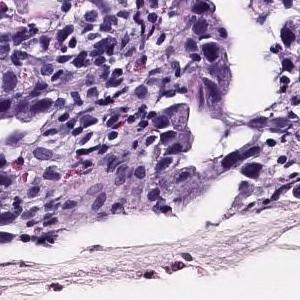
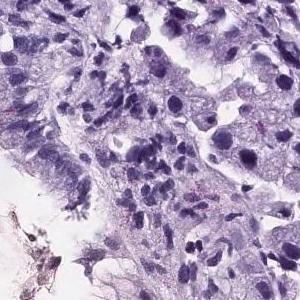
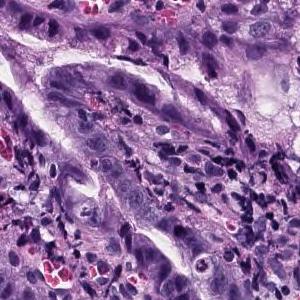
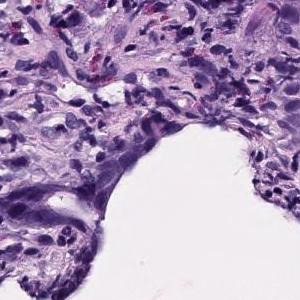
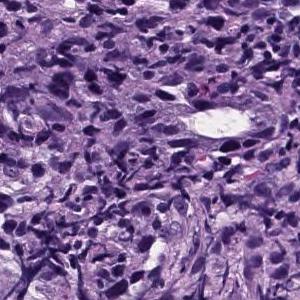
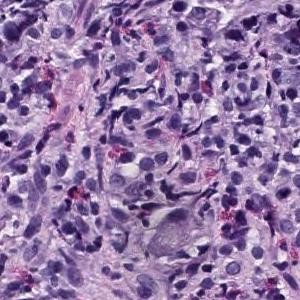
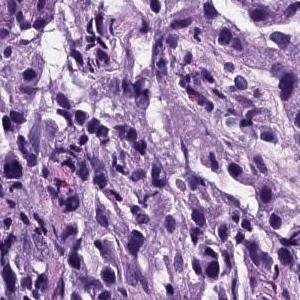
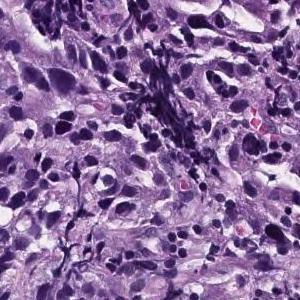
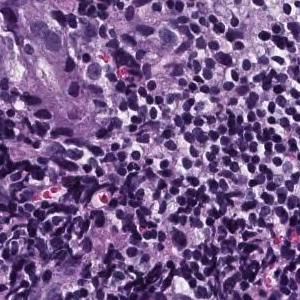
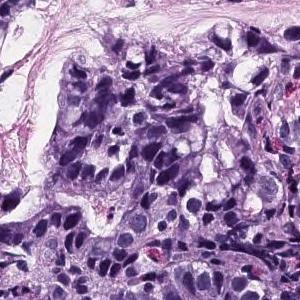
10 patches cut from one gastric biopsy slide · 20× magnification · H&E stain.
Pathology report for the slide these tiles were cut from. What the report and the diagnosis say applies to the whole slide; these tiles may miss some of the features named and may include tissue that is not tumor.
Atypical epithelial cells infiltrating and proliferating while forming solid or cord-like fused glandular cavities of different sizes is observed. moderately differentiated tubular adenocarcinoma, poorly differentiated adenocarcinoma.
Histologic type: Moderately to poorly differentiated adenocarcinoma.
